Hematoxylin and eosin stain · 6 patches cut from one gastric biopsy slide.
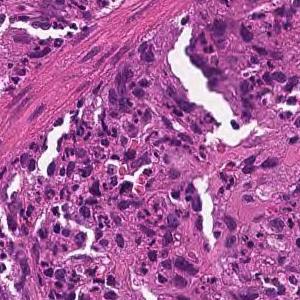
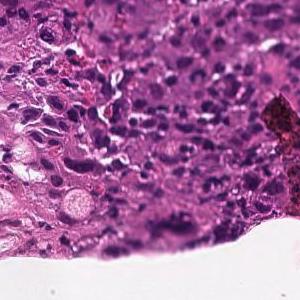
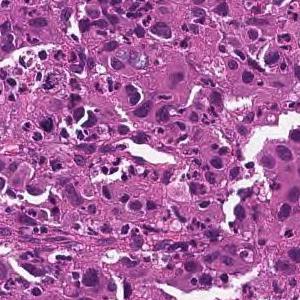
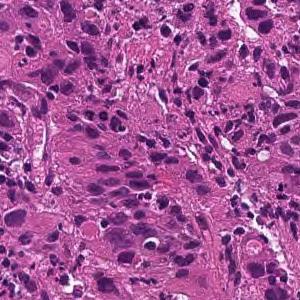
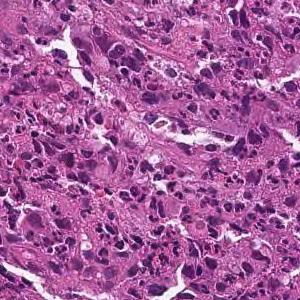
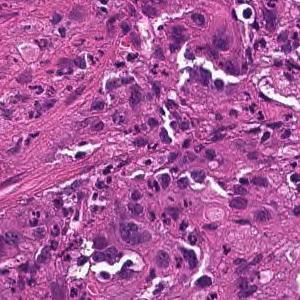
Pathology report for the slide these tiles were cut from. Both the report and the diagnosis are for the whole slide: these tiles need not show every feature named, and some of the tissue shown may not be tumor.
The superficial epithelium shows a large sheet-like shape, and some tumor tissue infiltrates with small irregular ducts. Poorly differentiated adenocarcinoma, solid-type
Subtype: Poorly differentiated adenocarcinoma, solid type (Japanese Classification of Gastric Carcinoma). The WHO 2019 equivalent is tubular adenocarcinoma, poorly differentiated.
